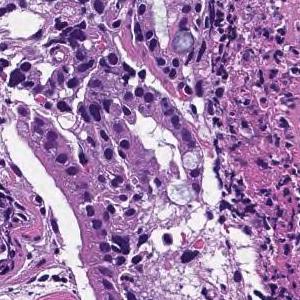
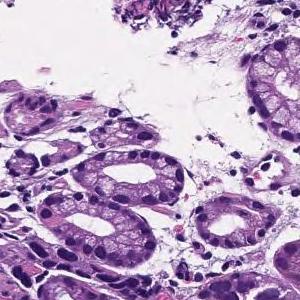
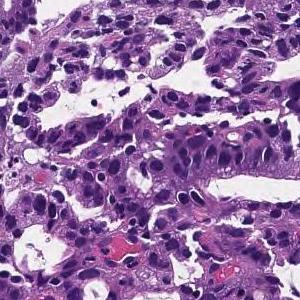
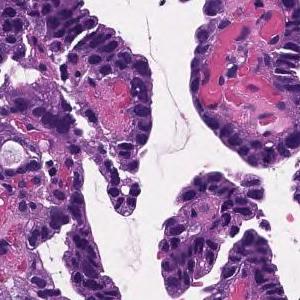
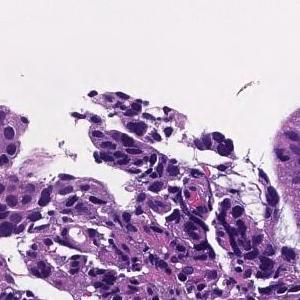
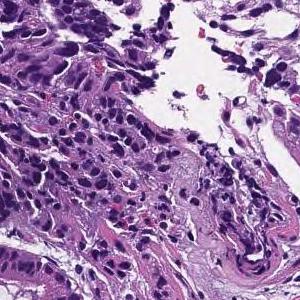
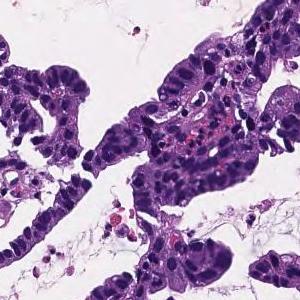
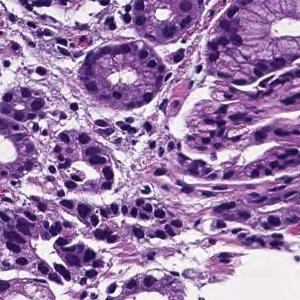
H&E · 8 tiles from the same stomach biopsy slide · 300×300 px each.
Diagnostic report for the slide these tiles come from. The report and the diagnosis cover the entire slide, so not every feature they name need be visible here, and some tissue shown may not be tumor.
Tumor cells are large, highly columnar, large club-shaped nuclei, and are associated with chromatin aggregation. Papillary adenocarcinoma.
